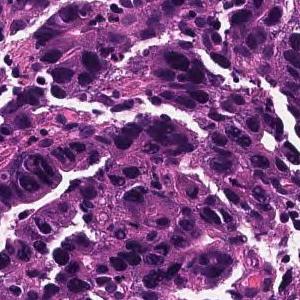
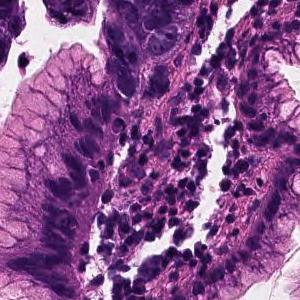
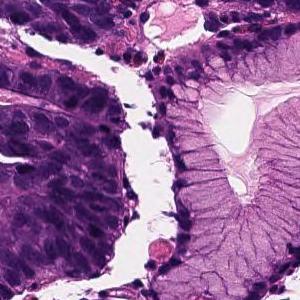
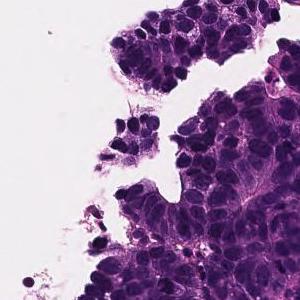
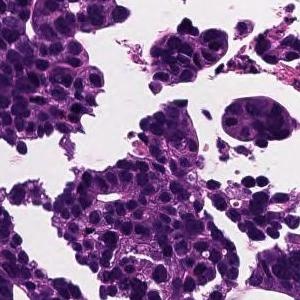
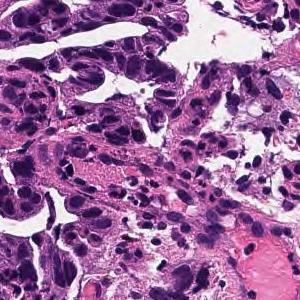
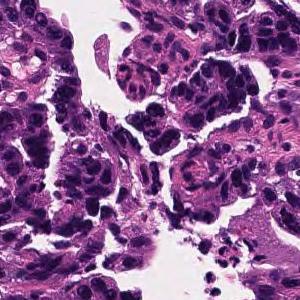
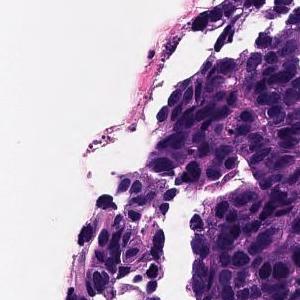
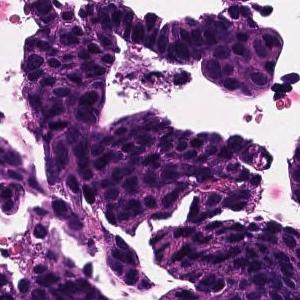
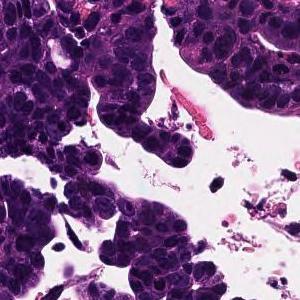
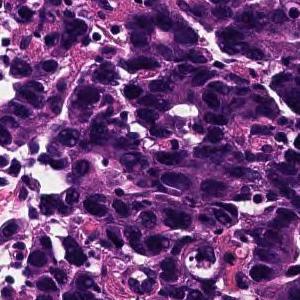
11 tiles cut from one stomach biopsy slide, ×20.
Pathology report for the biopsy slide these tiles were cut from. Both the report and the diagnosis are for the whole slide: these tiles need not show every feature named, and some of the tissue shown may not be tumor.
In the superficial epithelium, tumor tissue that invades by forming medium-sized to small, irregular ducts is observed. moderately differentiated tubular adenocarcinoma.
